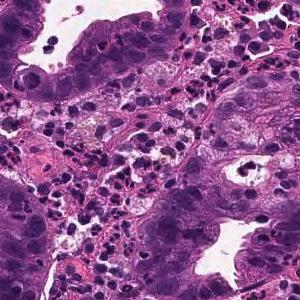
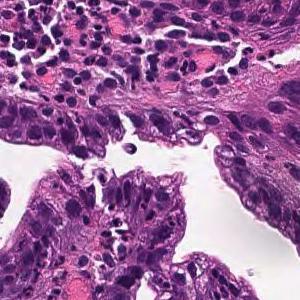
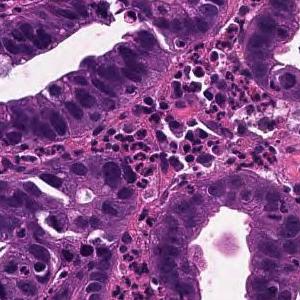
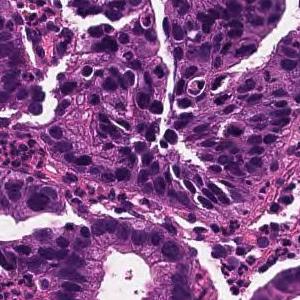
Scanned at ×20, H&E, 4 tiles from the same stomach biopsy slide, 300×300 px each.
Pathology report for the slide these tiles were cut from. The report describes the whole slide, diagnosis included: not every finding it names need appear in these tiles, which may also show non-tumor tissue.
From the superficial epithelium to the muscularis mucosae, tumor tissue consisting of medium-sized and irregular glandular ducts infiltrating is observed. Well differentiated tubular adenocarcinoma
